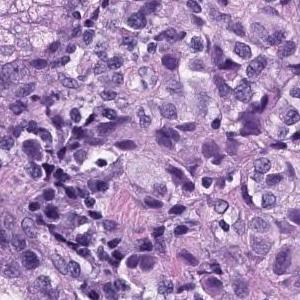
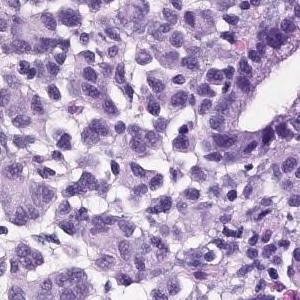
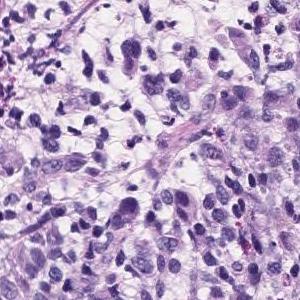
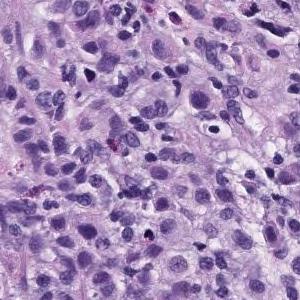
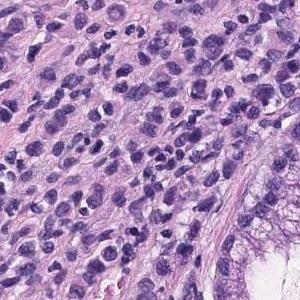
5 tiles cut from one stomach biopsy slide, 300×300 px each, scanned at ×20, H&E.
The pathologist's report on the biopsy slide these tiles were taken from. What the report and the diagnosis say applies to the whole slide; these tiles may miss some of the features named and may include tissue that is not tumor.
There are medium-sized atypical cells with marked nuclear swelling and increased N/C ratio, which grow into solid or isolated scattered cells. Poorly differentiated adenocarcinoma
Classified as poorly differentiated adenocarcinoma, solid type, a category of the Japanese Classification of Gastric Carcinoma; in the WHO 2019 classification it is tubular adenocarcinoma, poorly differentiated.
